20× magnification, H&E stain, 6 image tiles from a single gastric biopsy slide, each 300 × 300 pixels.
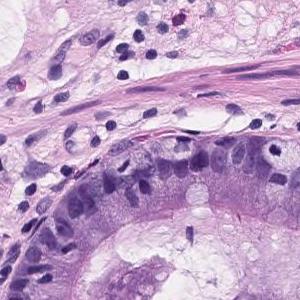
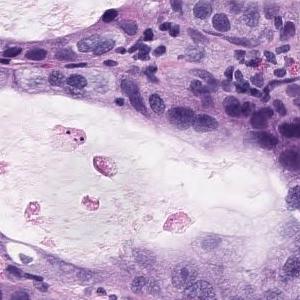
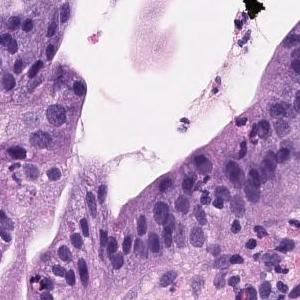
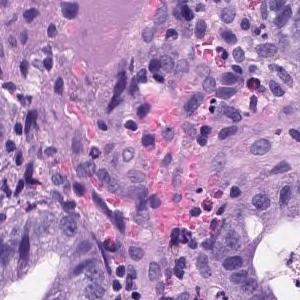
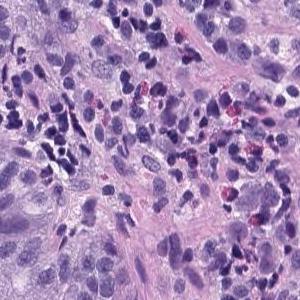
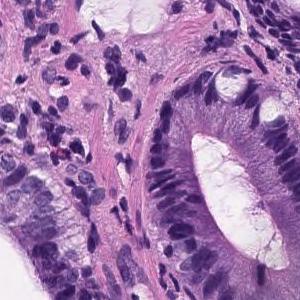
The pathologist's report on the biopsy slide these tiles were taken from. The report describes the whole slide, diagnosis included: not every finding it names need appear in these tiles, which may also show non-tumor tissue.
Tumor tissue consisting of medium-sized and irregular ducts is observed infiltrating in the superficial epithelium. Tumor cells are highly columnar, with nuclei aligned basolaterally and polarized. Well differentiated tubular adenocarcinoma.
